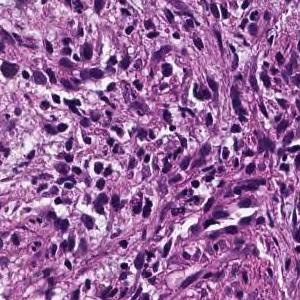
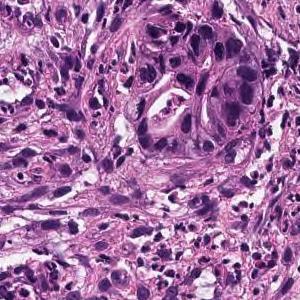
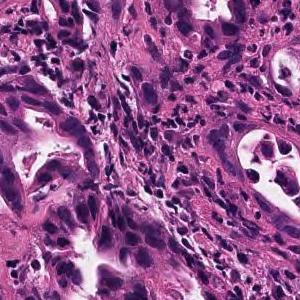
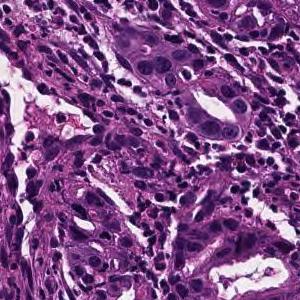
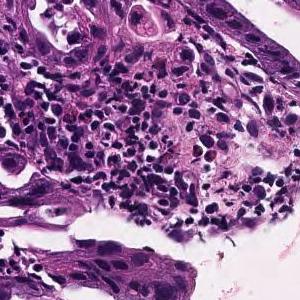
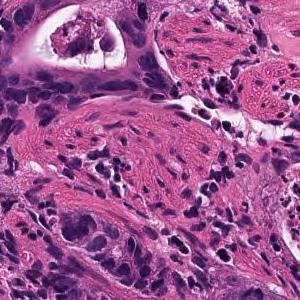
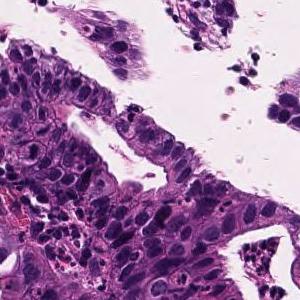
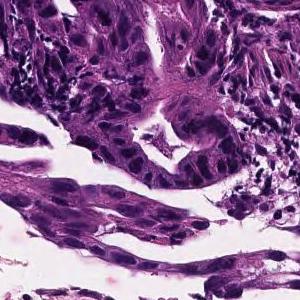
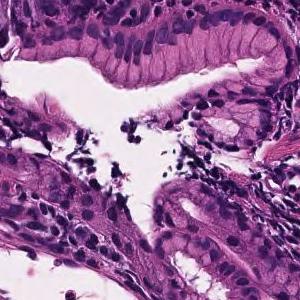
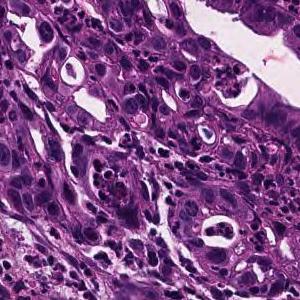
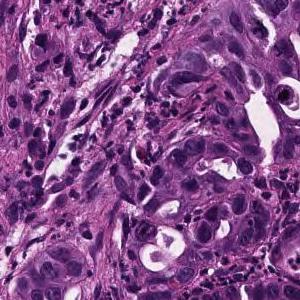
11 image tiles from a single gastric biopsy slide, ×20.
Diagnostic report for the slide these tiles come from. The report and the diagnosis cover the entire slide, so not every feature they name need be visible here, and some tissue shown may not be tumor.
In the superficial epithelium, medium-sized to small irregular glandular ducts are formed, and in some cases, the glandular ducts are fused or small cord-like infiltrating tumor tissue is observed. moderately differentiated tubular adenocarcinoma
